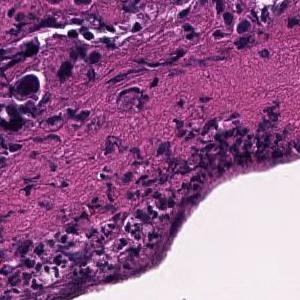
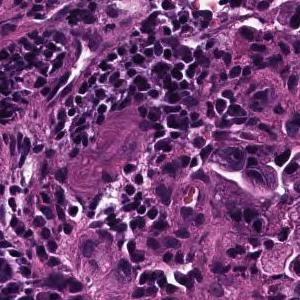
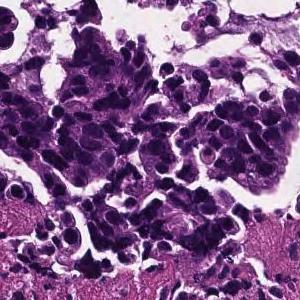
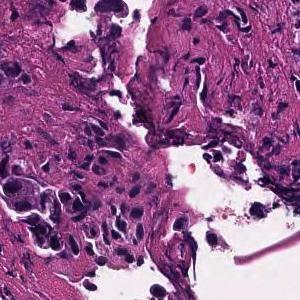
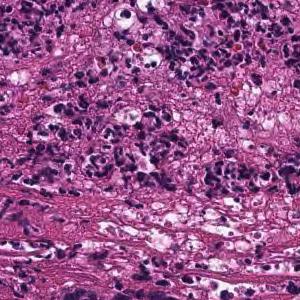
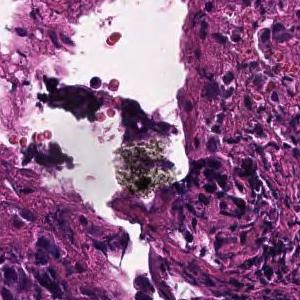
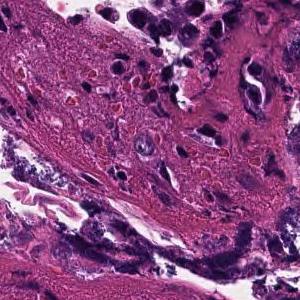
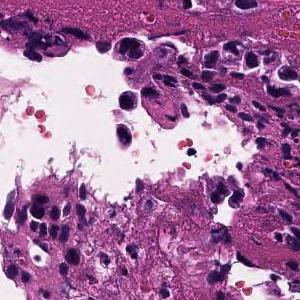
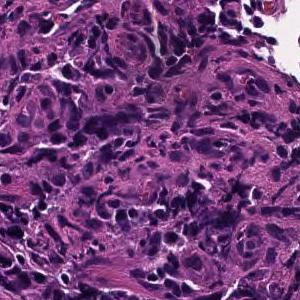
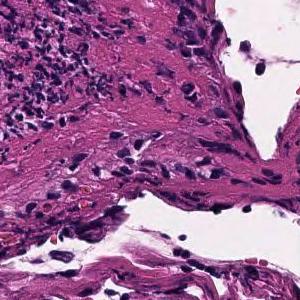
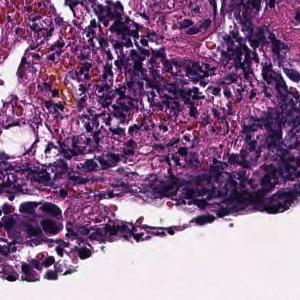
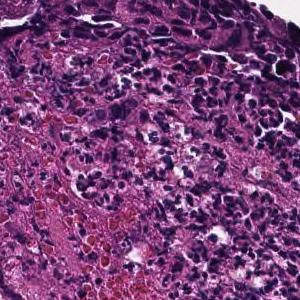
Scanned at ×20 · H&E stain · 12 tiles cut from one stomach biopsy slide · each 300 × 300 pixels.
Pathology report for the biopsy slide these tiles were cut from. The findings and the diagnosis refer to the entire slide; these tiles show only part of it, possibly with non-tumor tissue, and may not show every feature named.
Tumor tissue consisting of cord-like or small, irregular glandular ducts fused and infiltrated is observed in the superficial epithelium. Poorly differentiated adenocarcinoma, non-solid type
The non-solid type named here is a Japanese Classification of Gastric Carcinoma category.
